7 patches cut from one gastric biopsy slide, H&E.
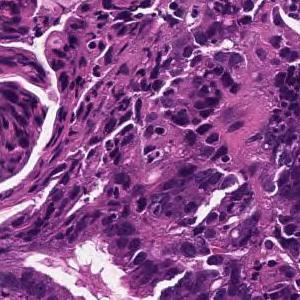
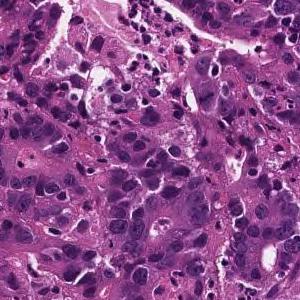
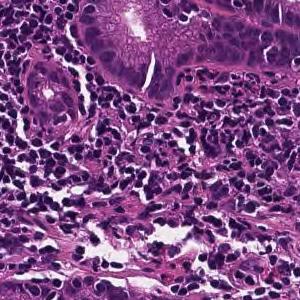
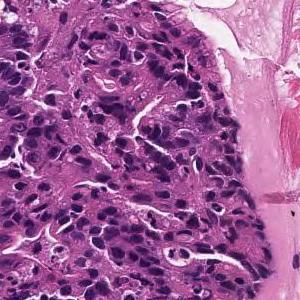
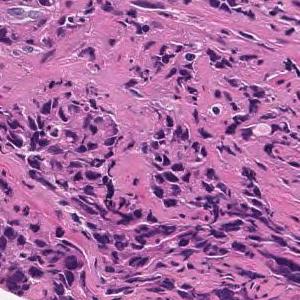
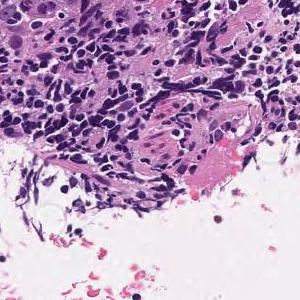
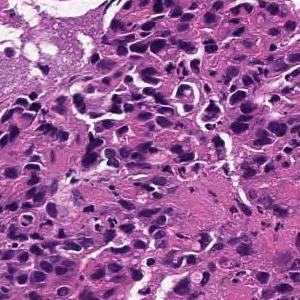
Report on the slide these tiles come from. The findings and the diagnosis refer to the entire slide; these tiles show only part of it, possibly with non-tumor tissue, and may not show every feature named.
In the superficial epithelium, tumor tissue that invades by forming medium-sized to small, irregular ducts is observed. moderately differentiated tubular adenocarcinoma.
